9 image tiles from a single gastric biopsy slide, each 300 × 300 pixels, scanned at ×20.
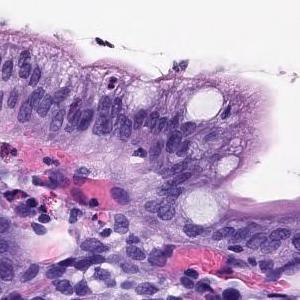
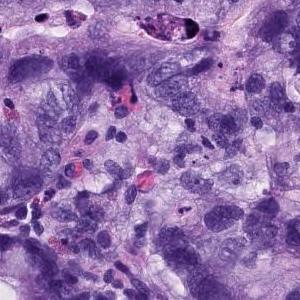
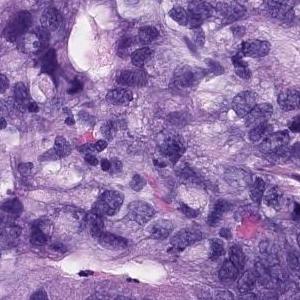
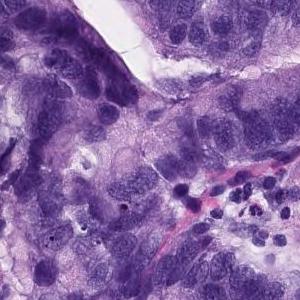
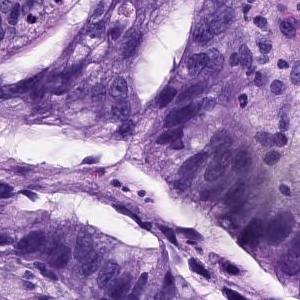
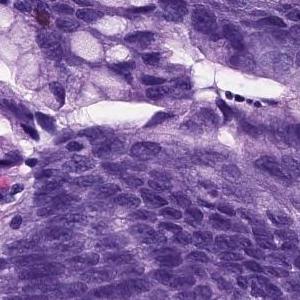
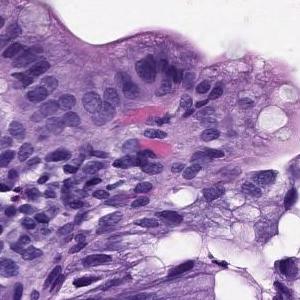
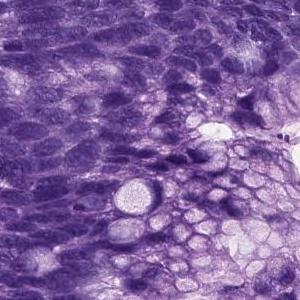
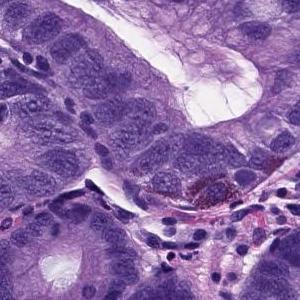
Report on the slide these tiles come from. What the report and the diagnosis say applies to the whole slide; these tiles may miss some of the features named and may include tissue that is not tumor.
There are large atypical epithelial cells infiltrating and proliferating while forming atypical glandular cavities showing a fusion tendency. Moderately differentiated tubular adenocarcinoma.
